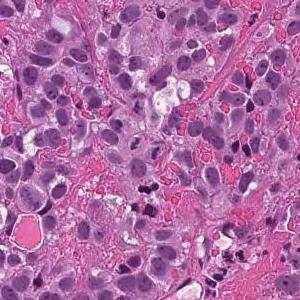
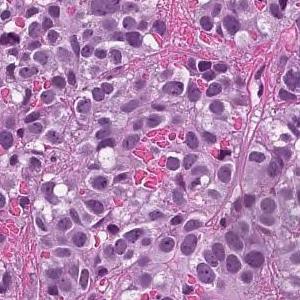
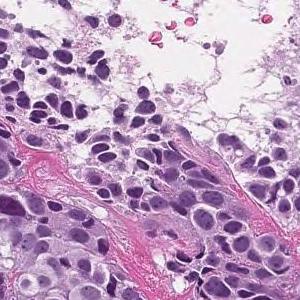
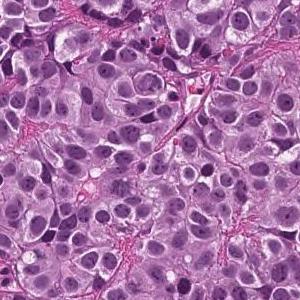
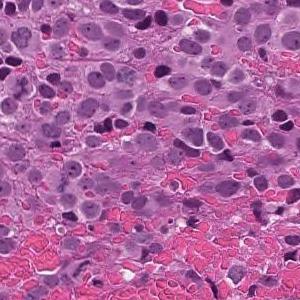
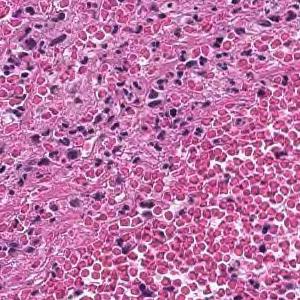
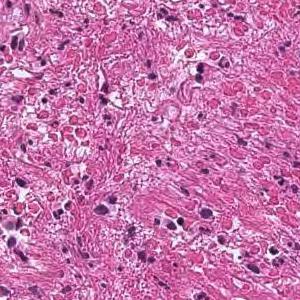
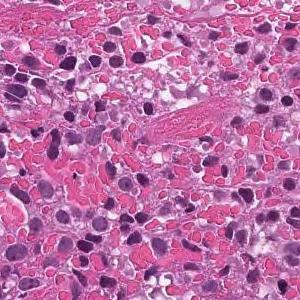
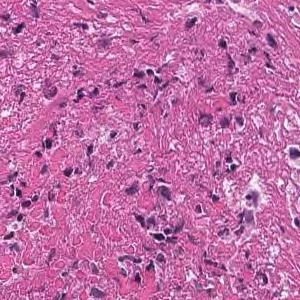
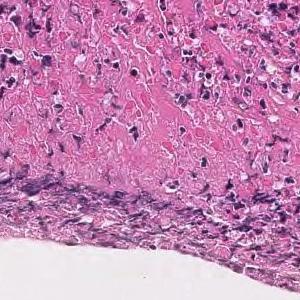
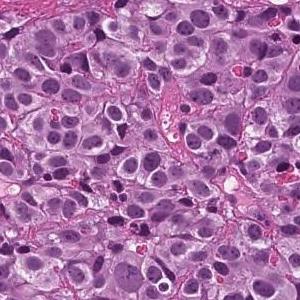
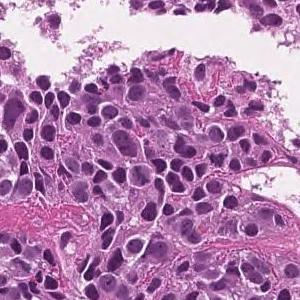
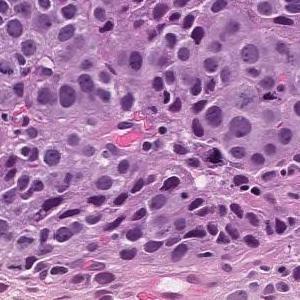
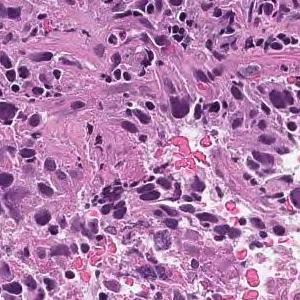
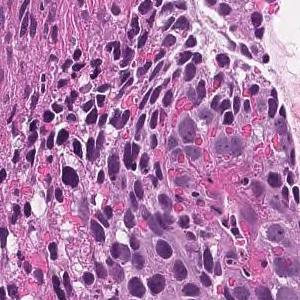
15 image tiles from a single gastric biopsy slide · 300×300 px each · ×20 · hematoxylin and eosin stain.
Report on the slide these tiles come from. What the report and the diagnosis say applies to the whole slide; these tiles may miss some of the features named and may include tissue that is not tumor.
The superficial epithelium shows a large sheet-like shape, and some tumor tissue infiltrates with small irregular ducts. Poorly differentiated adenocarcinoma, solid-type
Subtype: Poorly differentiated adenocarcinoma, solid type (Japanese Classification of Gastric Carcinoma). The WHO 2019 equivalent is tubular adenocarcinoma, poorly differentiated.
